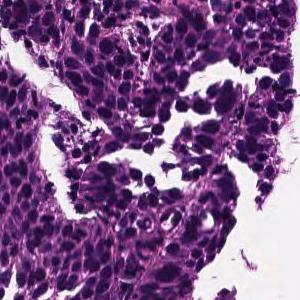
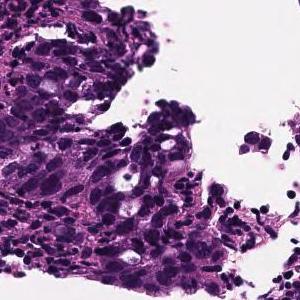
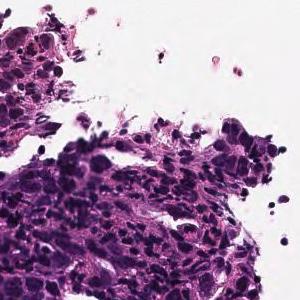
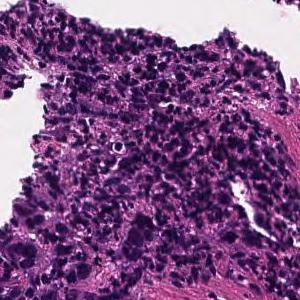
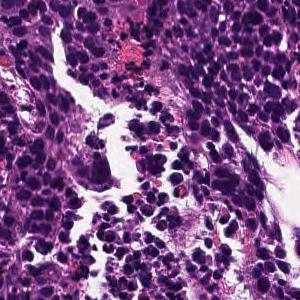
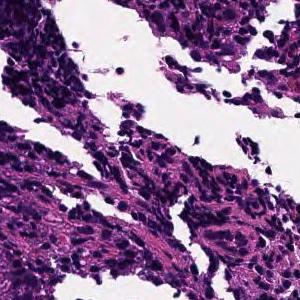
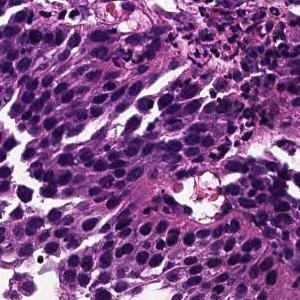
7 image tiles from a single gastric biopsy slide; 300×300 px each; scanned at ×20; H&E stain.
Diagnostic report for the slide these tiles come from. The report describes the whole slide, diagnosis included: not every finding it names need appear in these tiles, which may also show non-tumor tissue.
Tumor tissue consisting of cord-like or small, irregular glandular ducts fused and infiltrated is observed in the superficial epithelium. Poorly differentiated adenocarcinoma, non-solid type
"Non-solid type" is a category of the Japanese Classification of Gastric Carcinoma.
